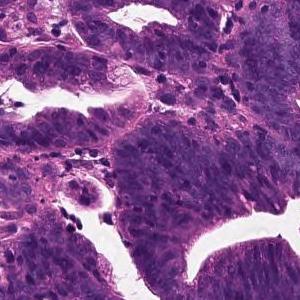
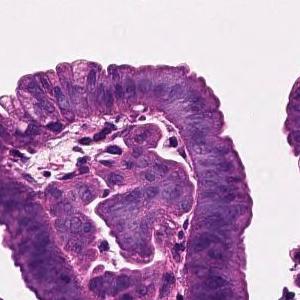
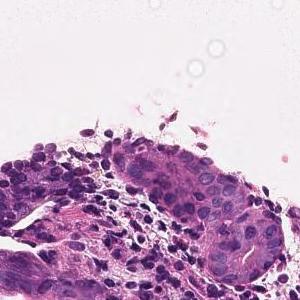
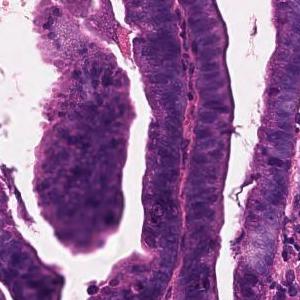
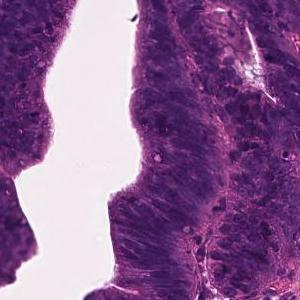
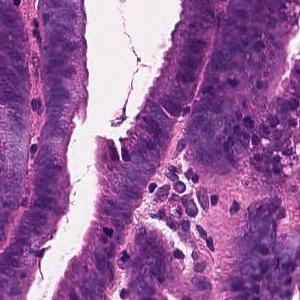
20× magnification, 6 tiles cut from one stomach biopsy slide, each 300 × 300 pixels.
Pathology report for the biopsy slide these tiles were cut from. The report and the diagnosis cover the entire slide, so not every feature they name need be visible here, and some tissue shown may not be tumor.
Tumor cells are large, highly columnar, large club-shaped nuclei, and are associated with chromatin aggregation. Papillary adenocarcinoma.
